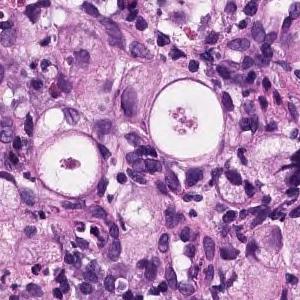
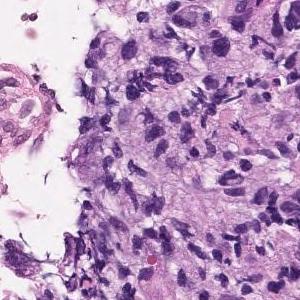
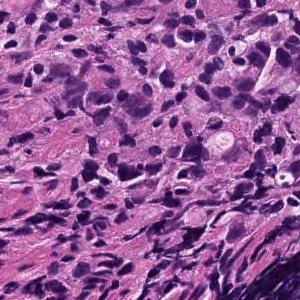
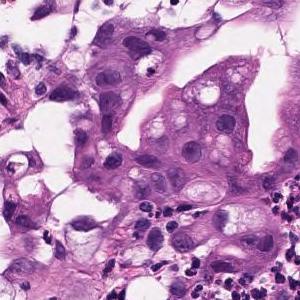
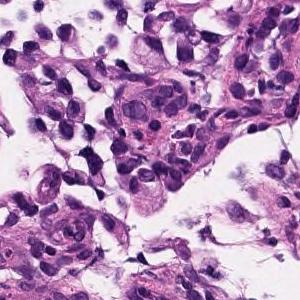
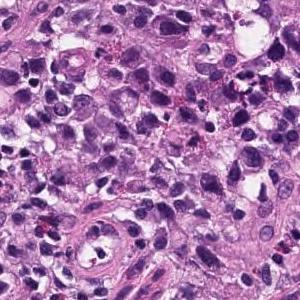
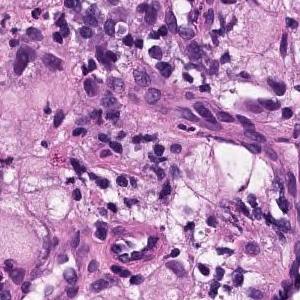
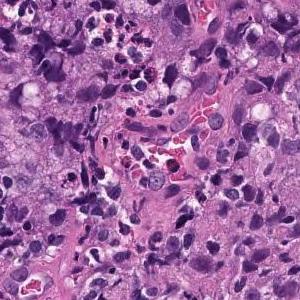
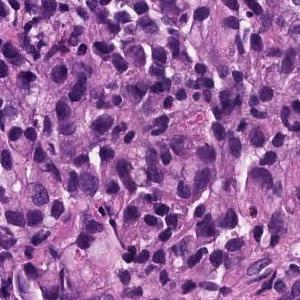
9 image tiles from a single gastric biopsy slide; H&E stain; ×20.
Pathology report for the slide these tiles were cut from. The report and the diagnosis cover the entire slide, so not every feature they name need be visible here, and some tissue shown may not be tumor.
Atypical epithelium forms irregularly fused gland ducts and proliferates. Poorly differentiated adenocarcinoma.
Tumor subtype: poorly differentiated adenocarcinoma, non-solid type.
The non-solid type named here is a Japanese Classification of Gastric Carcinoma category.
